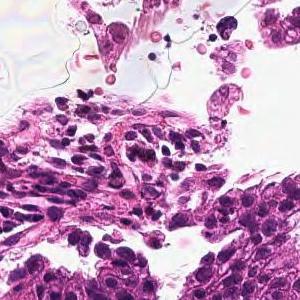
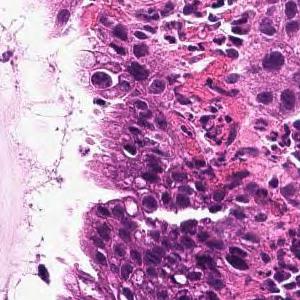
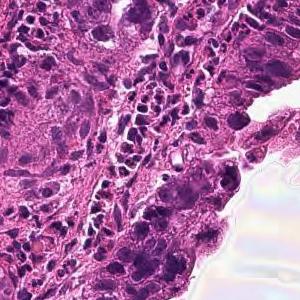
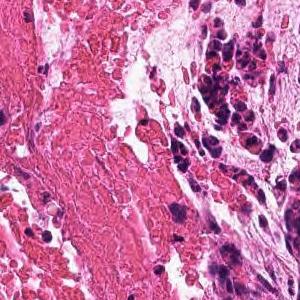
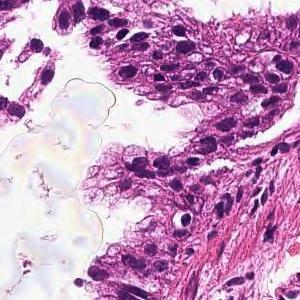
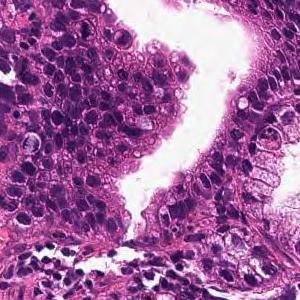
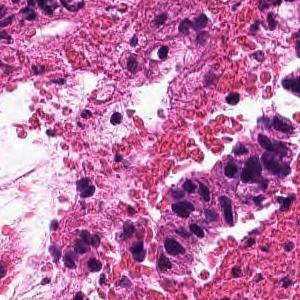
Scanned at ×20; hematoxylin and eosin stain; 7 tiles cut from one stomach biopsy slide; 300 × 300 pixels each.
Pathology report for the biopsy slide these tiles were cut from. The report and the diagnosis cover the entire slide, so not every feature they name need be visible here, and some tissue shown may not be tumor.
From the superficial epithelium to the muscularis mucosae, tumor tissue infiltrating by forming medium-sized irregular gland ducts is observed. Well differentiated tubular adenocarcinoma
